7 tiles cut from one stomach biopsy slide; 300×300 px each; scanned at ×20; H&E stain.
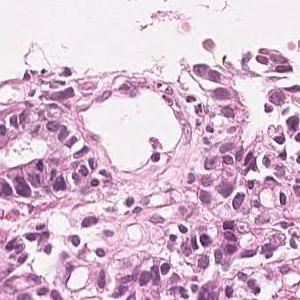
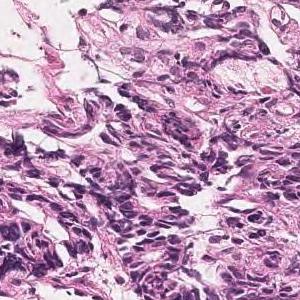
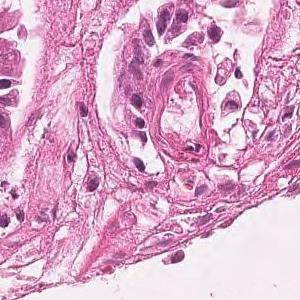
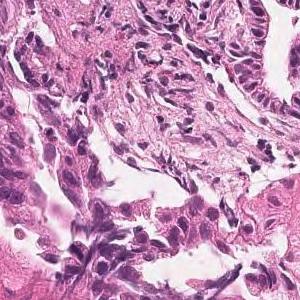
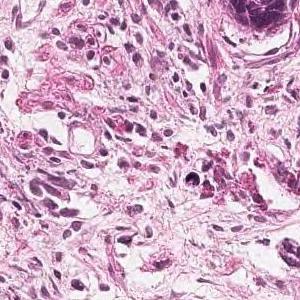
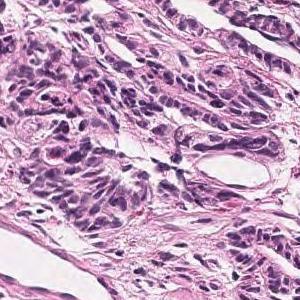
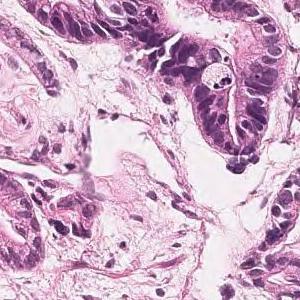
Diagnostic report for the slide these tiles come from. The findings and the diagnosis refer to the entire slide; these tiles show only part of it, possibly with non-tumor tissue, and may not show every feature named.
On the superficial epithelium, tumor tissue consisting of large, irregular glandular ducts partially fused and infiltrated is observed. Well to moderately differentiated tubular adenocarcinoma (well differentiated tubular adenocarcinoma, moderately differentiated tubular adenocarcinoma)
Subtype: Well to moderately differentiated tubular adenocarcinoma.
